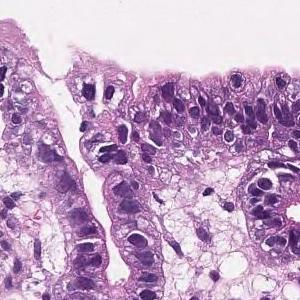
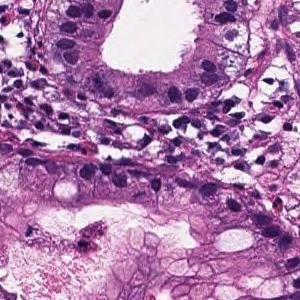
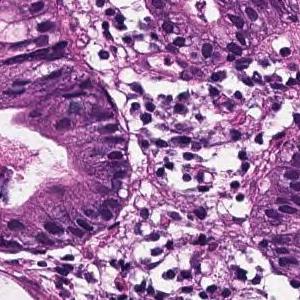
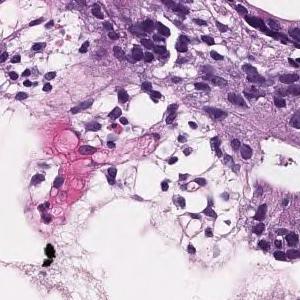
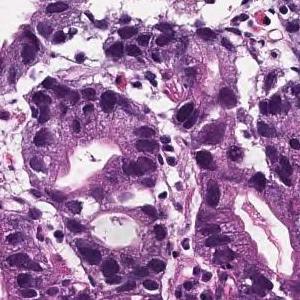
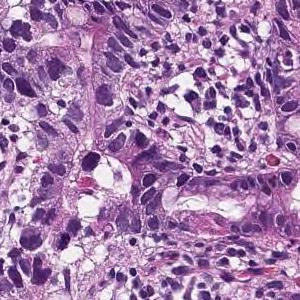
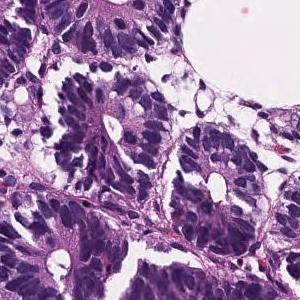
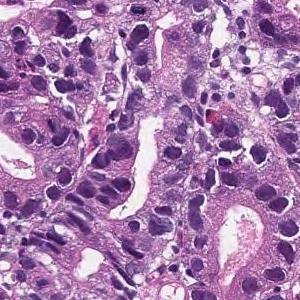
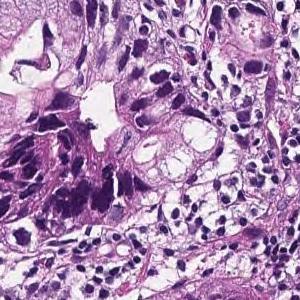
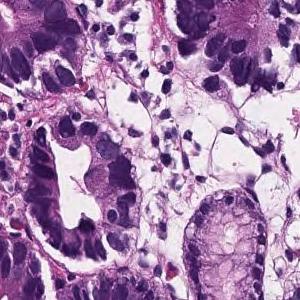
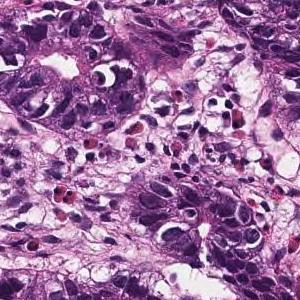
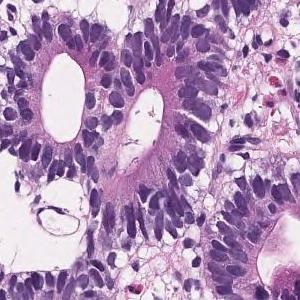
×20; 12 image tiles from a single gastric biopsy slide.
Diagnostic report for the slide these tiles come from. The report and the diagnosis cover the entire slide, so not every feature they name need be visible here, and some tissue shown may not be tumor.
On the superficial epithelium, tumor tissue consisting of large, irregular glandular ducts partially fused and infiltrated is observed. Well to moderately differentiated tubular adenocarcinoma (well differentiated tubular adenocarcinoma, moderately differentiated tubular adenocarcinoma)
Histologic type: Well to moderately differentiated tubular adenocarcinoma.
